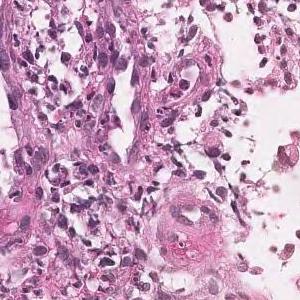
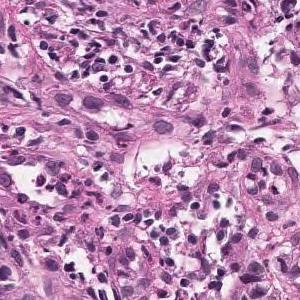
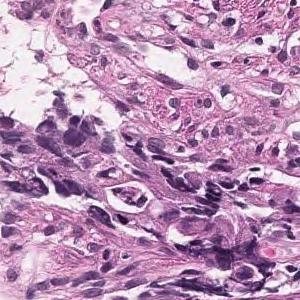
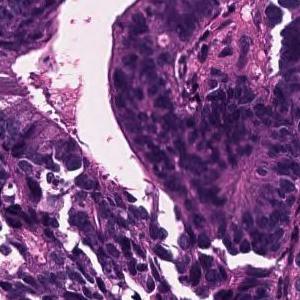
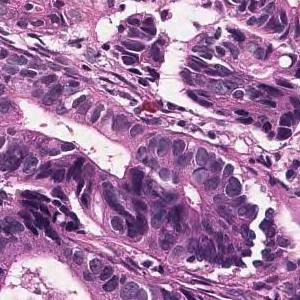
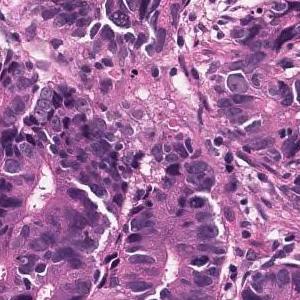
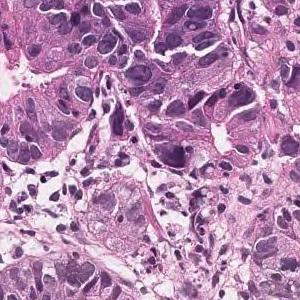
Scanned at ×20; hematoxylin and eosin stain; 7 tiles cut from one stomach biopsy slide.
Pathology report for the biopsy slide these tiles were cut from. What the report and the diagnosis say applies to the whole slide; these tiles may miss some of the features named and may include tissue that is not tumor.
In the superficial epithelium, tumor tissue is found in which medium-sized irregular gland ducts fuse with each other and infiltrate. moderately differentiated tubular adenocarcinoma
